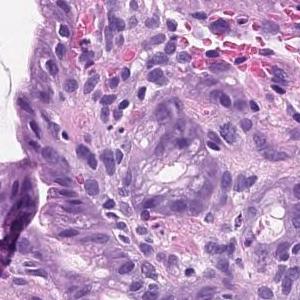
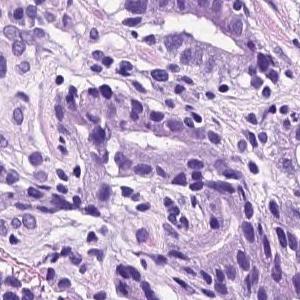
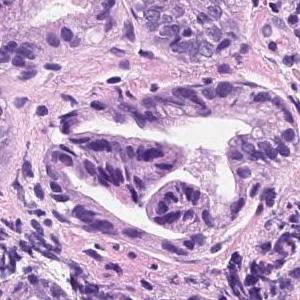
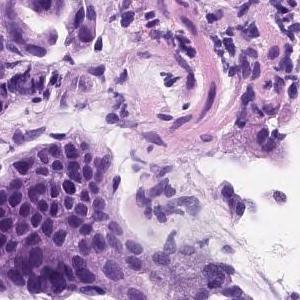
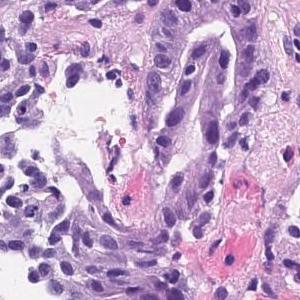
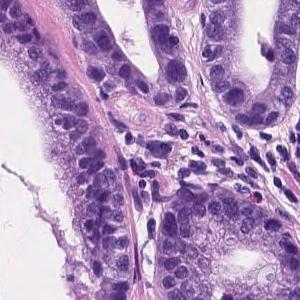
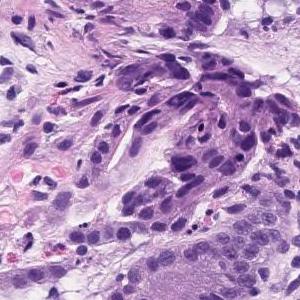
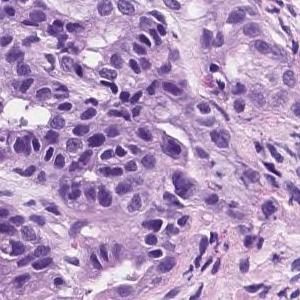
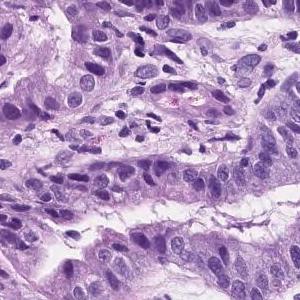
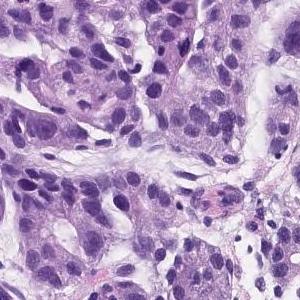
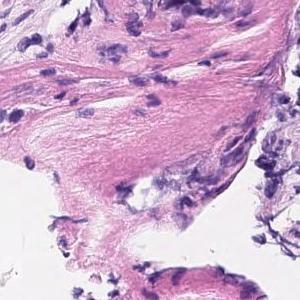
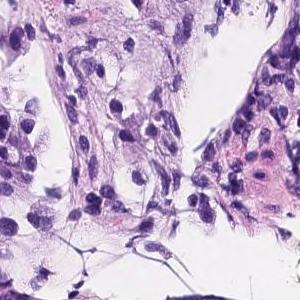
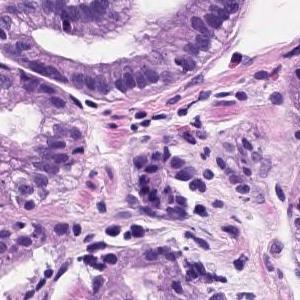
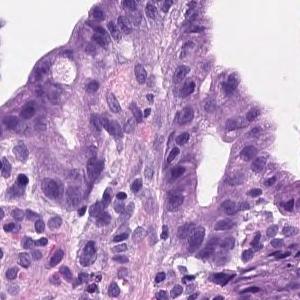
H&E, 20× magnification, 14 patches cut from one gastric biopsy slide, 300 × 300 pixels each.
Pathology report for the slide these tiles were cut from. The report describes the whole slide, diagnosis included: not every finding it names need appear in these tiles, which may also show non-tumor tissue.
Tumor tissue consisting of medium-sized and irregular ducts is observed infiltrating in the superficial epithelium. Tumor cells are highly columnar, with nuclei aligned basolaterally and polarized. Well differentiated tubular adenocarcinoma.
